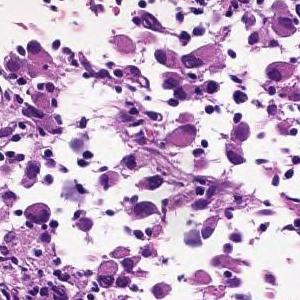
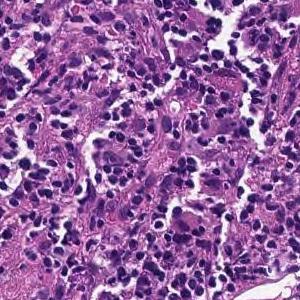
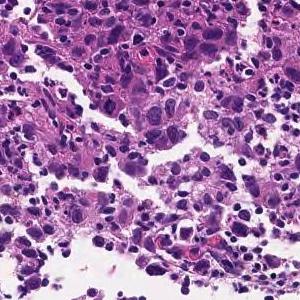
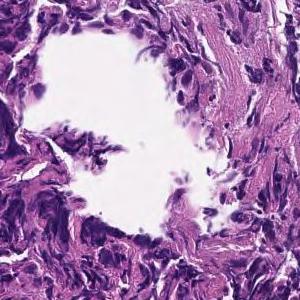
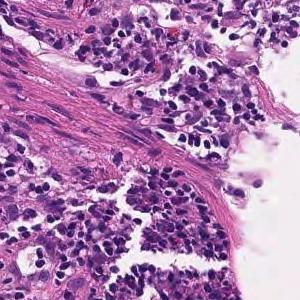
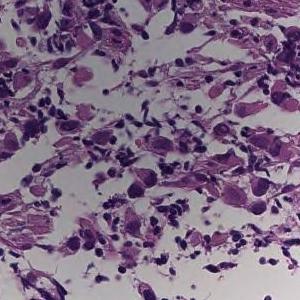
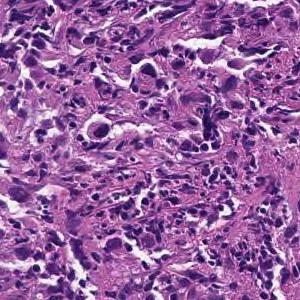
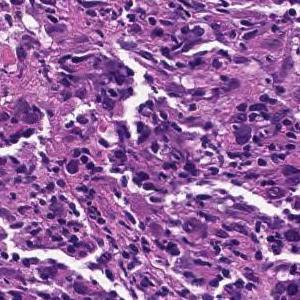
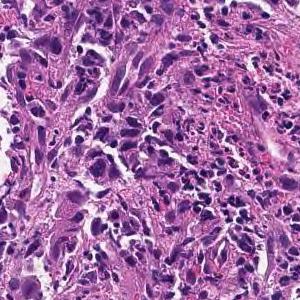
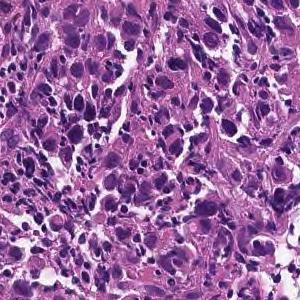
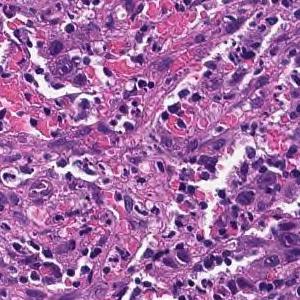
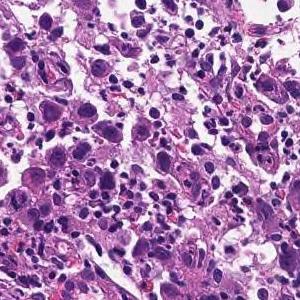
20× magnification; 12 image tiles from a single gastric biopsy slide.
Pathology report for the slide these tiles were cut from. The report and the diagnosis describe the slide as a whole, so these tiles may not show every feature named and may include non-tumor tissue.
The superficial epithelium shows a large sheet-like shape, and some tumor tissue infiltrates with small irregular ducts. Poorly differentiated adenocarcinoma, solid-type (poorly differentiated adenocarcinoma, solid type)
Histological subtype: Poorly differentiated adenocarcinoma, solid type (Japanese Classification of Gastric Carcinoma). The WHO 2019 equivalent is tubular adenocarcinoma, poorly differentiated.
